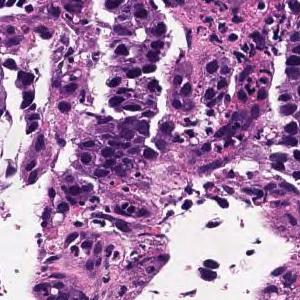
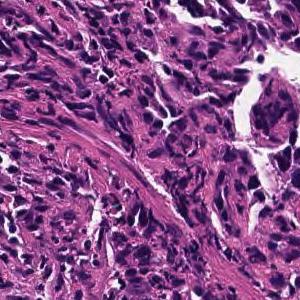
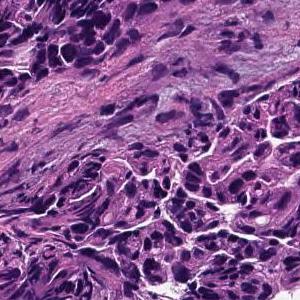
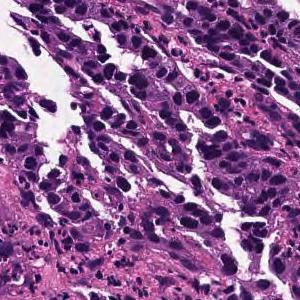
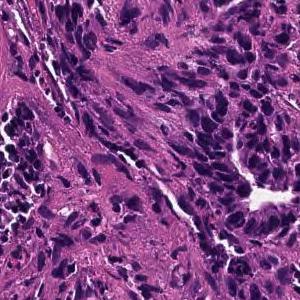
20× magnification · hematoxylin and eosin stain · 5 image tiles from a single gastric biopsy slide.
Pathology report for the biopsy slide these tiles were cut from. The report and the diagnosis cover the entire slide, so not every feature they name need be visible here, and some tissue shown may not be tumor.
In the superficial epithelium, tumor tissue that invades by forming medium-sized to small, irregular ducts is observed. moderately differentiated tubular adenocarcinoma.
